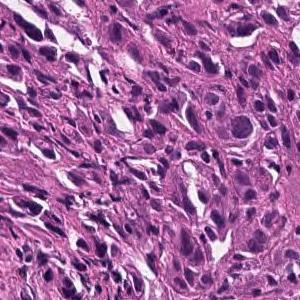
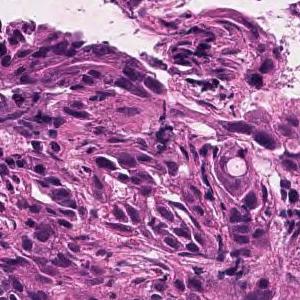
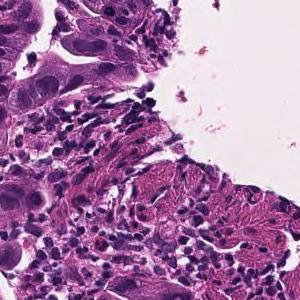
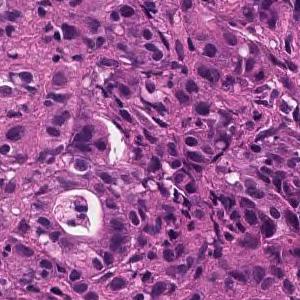
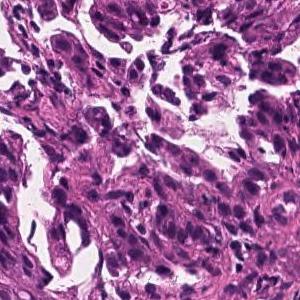
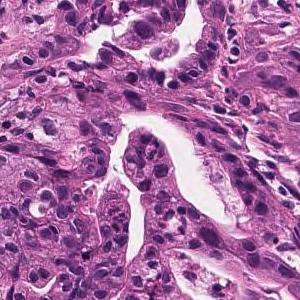
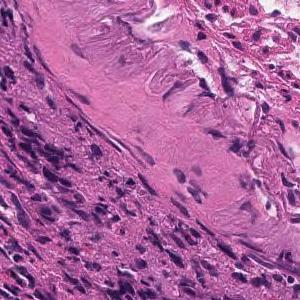
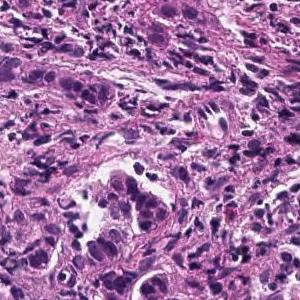
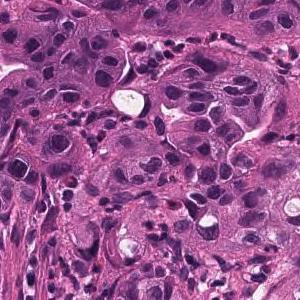
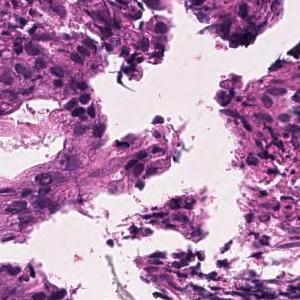
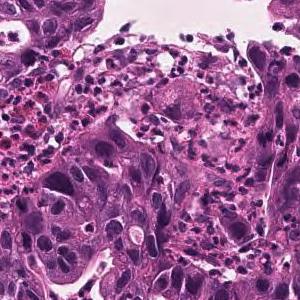
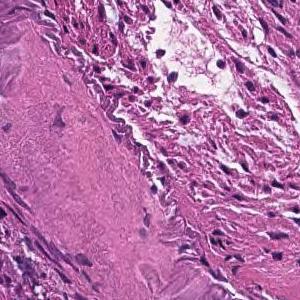
12 tiles from the same stomach biopsy slide, 300 × 300 pixels each, hematoxylin and eosin stain.
Pathology report for the slide these tiles were cut from. The findings and the diagnosis refer to the entire slide; these tiles show only part of it, possibly with non-tumor tissue, and may not show every feature named.
Tumor tissue consisting of medium-sized, cord-like or irregular glandular infiltration is observed in the superficial epithelium. Poorly differentiated adenocarcinoma, non-solid type or moderately differentiated tubular adenocarcinoma
The non-solid type named here is a Japanese Classification of Gastric Carcinoma category.
